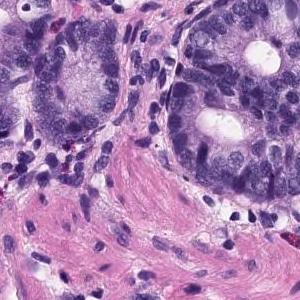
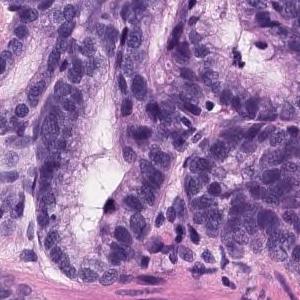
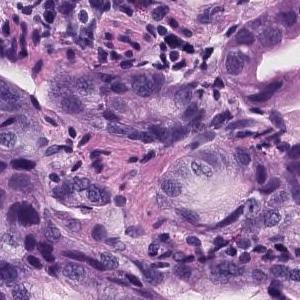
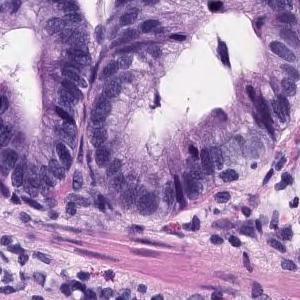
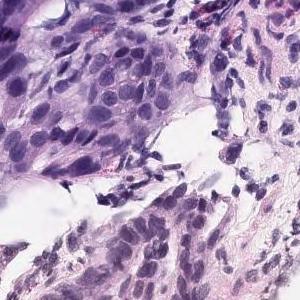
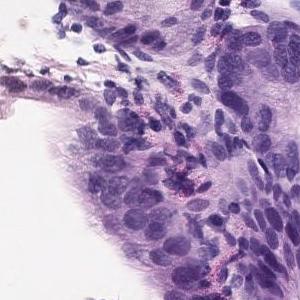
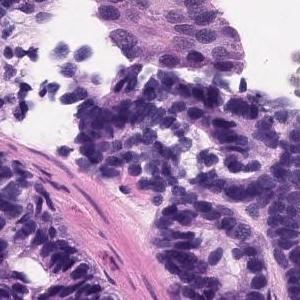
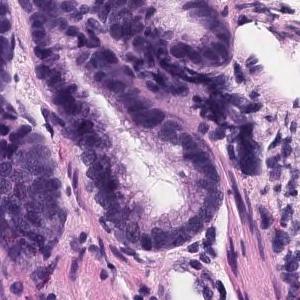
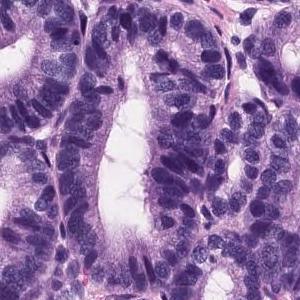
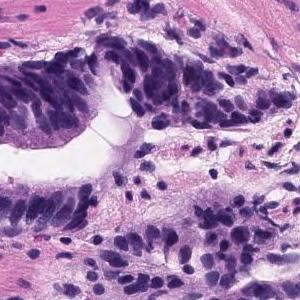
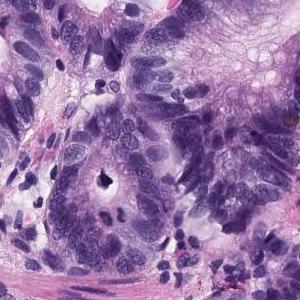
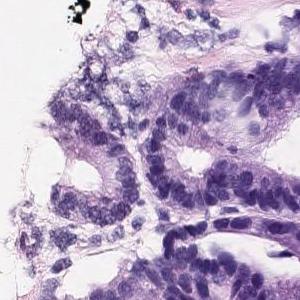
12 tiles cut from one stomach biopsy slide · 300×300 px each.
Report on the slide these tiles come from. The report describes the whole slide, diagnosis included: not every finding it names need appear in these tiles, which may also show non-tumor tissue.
Tumor tissue consisting of medium-sized and irregular ducts is observed infiltrating in the superficial epithelium. Tumor cells are highly columnar, with nuclei aligned basolaterally and polarized. Well differentiated tubular adenocarcinoma.
